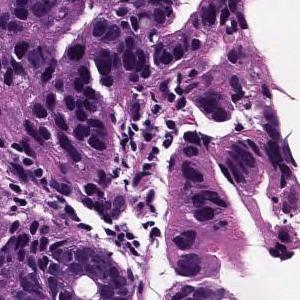
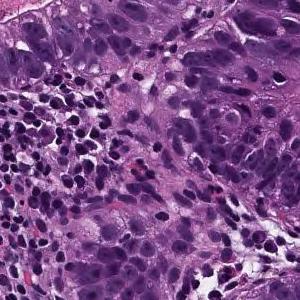
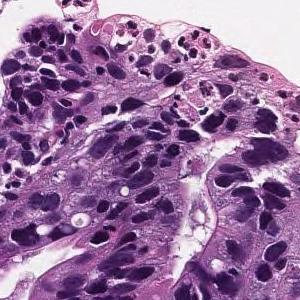
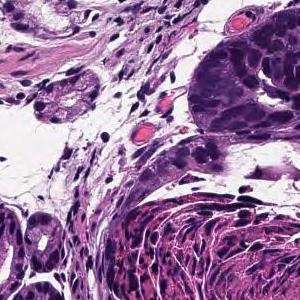
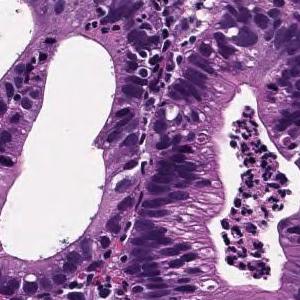
20× magnification · H&E stain · 5 tiles from the same stomach biopsy slide · 300 × 300 pixels each.
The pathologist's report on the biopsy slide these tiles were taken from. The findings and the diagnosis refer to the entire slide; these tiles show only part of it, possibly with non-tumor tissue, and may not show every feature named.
From the superficial epithelium to the muscularis mucosae, tumor tissue consisting of medium-sized and irregular glandular ducts infiltrating is observed. Well differentiated tubular adenocarcinoma
